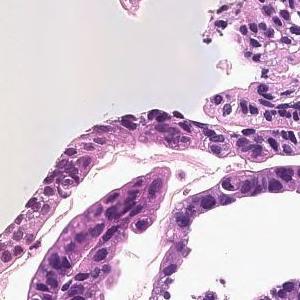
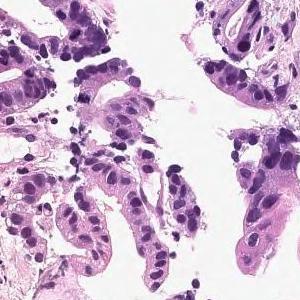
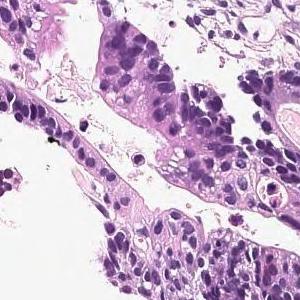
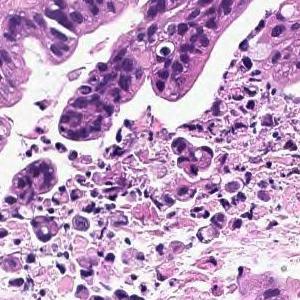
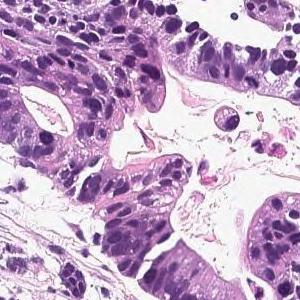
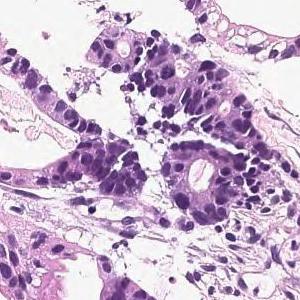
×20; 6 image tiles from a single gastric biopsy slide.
Pathology report for the slide these tiles were cut from. The report and the diagnosis describe the slide as a whole, so these tiles may not show every feature named and may include non-tumor tissue.
In the superficial epithelium, tumor tissue that invades by forming medium-sized to small, irregular ducts is observed. moderately differentiated tubular adenocarcinoma.
